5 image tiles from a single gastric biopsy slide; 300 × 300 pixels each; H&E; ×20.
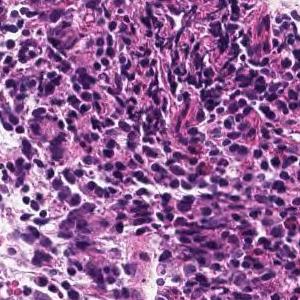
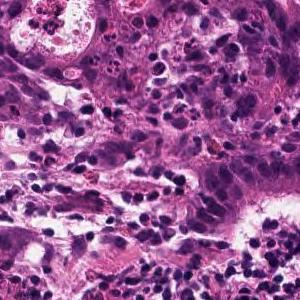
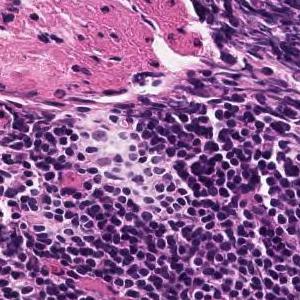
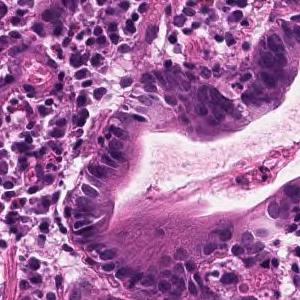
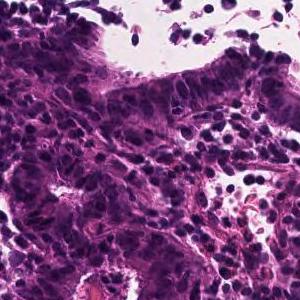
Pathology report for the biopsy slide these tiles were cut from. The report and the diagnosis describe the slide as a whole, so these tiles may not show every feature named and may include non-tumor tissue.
Tumor tissue consisting of medium-sized, cord-like or irregular glandular infiltration is observed in the superficial epithelium. Poorly differentiated adenocarcinoma, non-solid type or moderately differentiated tubular adenocarcinoma
Labeled in the dataset as poorly differentiated adenocarcinoma, non-solid type.
"Non-solid type" is a category of the Japanese Classification of Gastric Carcinoma.
